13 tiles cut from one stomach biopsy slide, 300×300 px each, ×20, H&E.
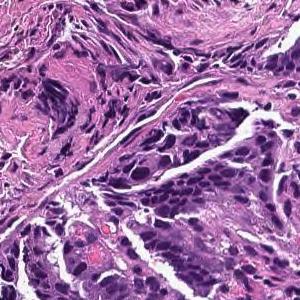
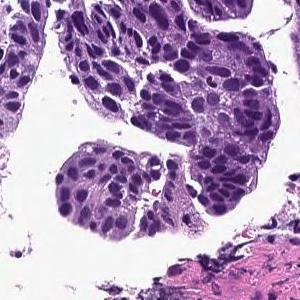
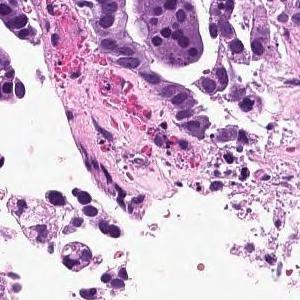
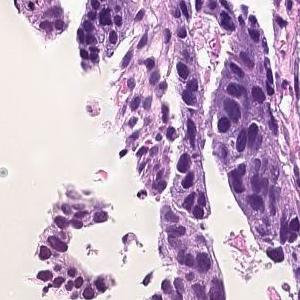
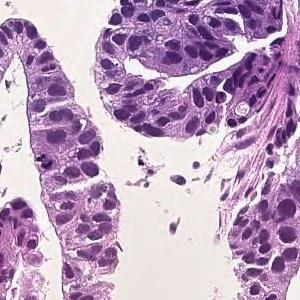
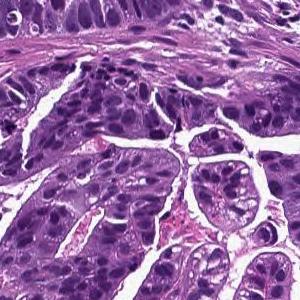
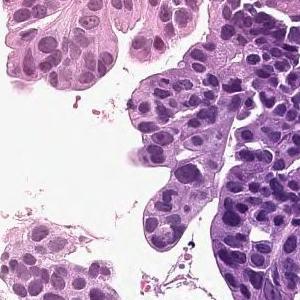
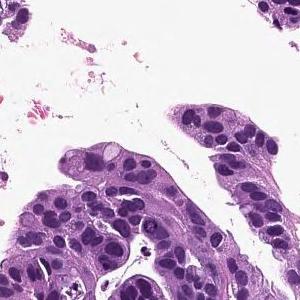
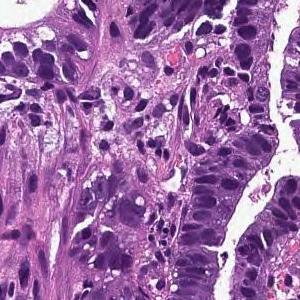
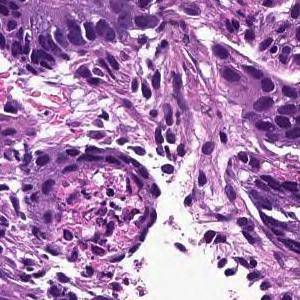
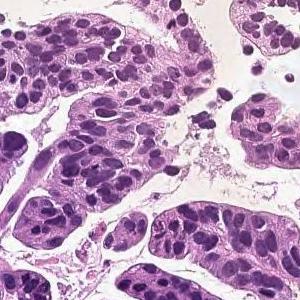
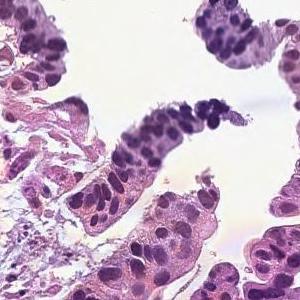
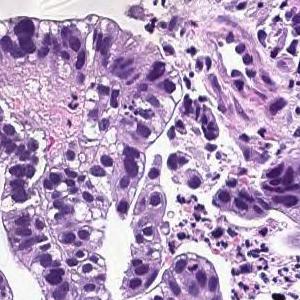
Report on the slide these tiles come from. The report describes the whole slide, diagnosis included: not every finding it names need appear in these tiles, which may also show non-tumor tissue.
Tumor cells are large, highly columnar, large club-shaped nuclei, and are associated with chromatin aggregation. Papillary adenocarcinoma.
